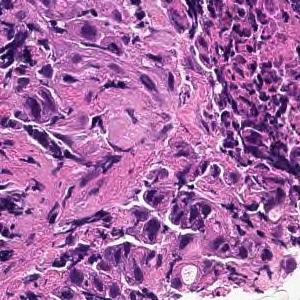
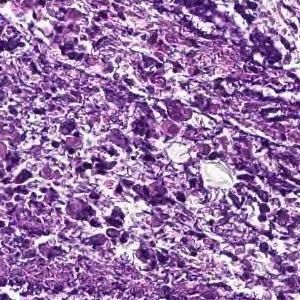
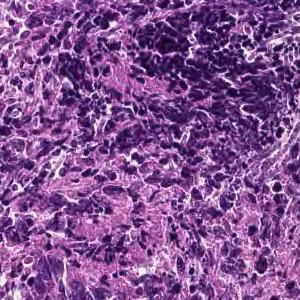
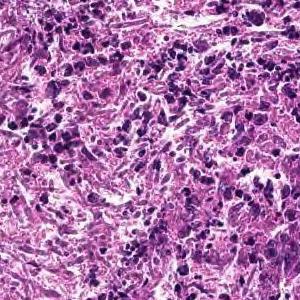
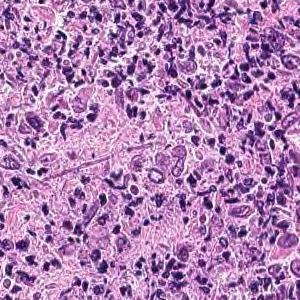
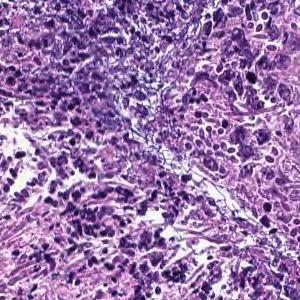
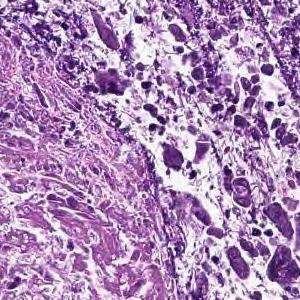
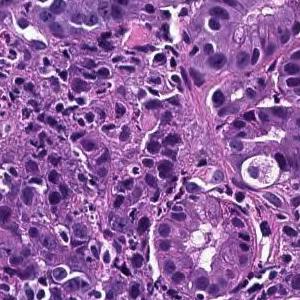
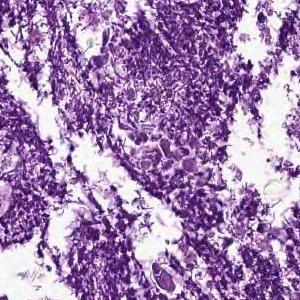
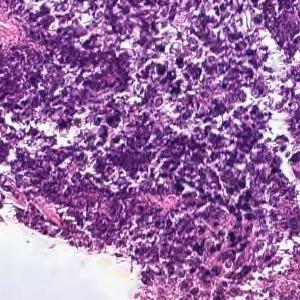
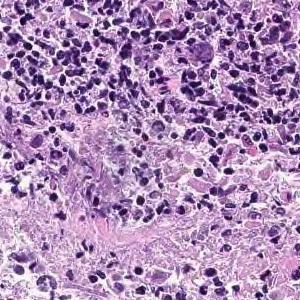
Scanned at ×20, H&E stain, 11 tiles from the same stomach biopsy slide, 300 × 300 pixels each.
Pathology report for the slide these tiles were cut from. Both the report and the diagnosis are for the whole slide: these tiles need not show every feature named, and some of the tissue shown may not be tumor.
Cancers with polygonal nuclei do not show glandular formation and are densely, in part, cord-like and proliferate. Poorly differentiated adenocarcinoma
Histologic type: Poorly differentiated adenocarcinoma, non-solid type.
"Non-solid type" is a category of the Japanese Classification of Gastric Carcinoma.
